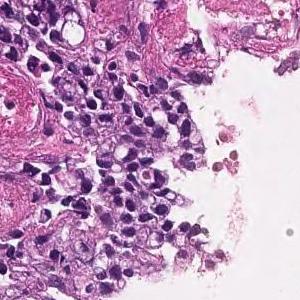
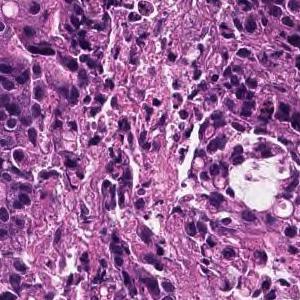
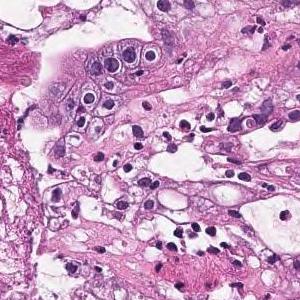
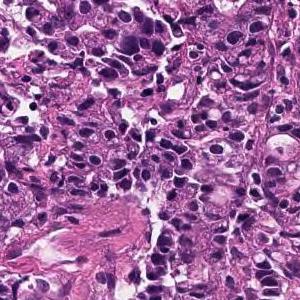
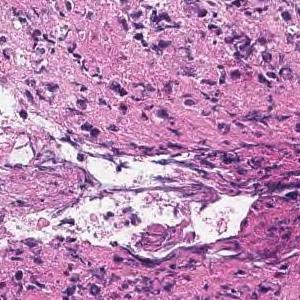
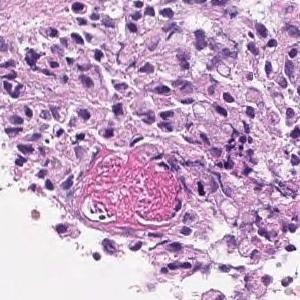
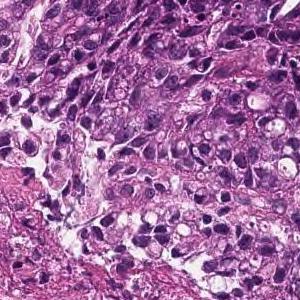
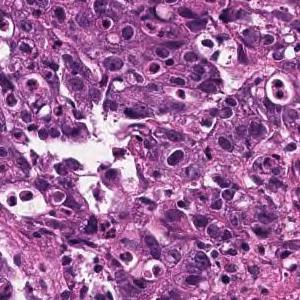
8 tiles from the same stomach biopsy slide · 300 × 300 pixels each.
The pathologist's report on the biopsy slide these tiles were taken from. The report and the diagnosis cover the entire slide, so not every feature they name need be visible here, and some tissue shown may not be tumor.
Medium to small, irregular glandular ducts are formed in the superficial epithelium, and in some cases, the glandular ducts are fused to show solid alveolar lesions and infiltrating tumor tissue is observed. Moderately to poorly differentiated adenocarcinoma.
